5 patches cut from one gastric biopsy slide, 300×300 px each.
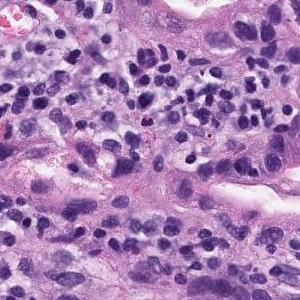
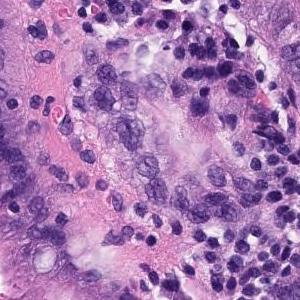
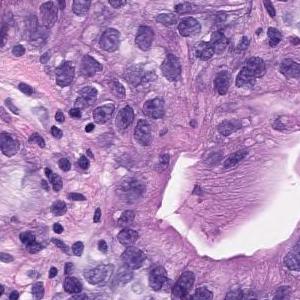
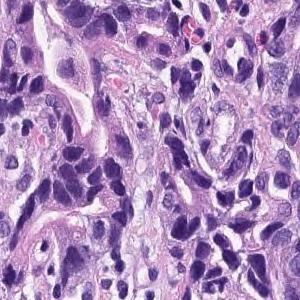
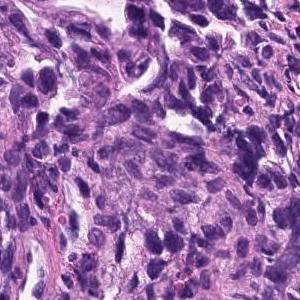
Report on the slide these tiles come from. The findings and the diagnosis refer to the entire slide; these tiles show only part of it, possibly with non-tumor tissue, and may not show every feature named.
On the superficial epithelium, tumor tissue consisting of images showing invasive growth with small, irregular tubules partially fused is observed. moderately differentiated tubular adenocarcinoma
